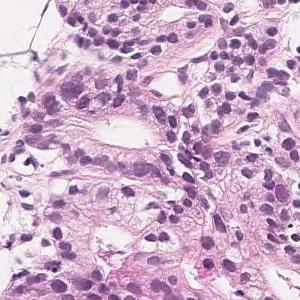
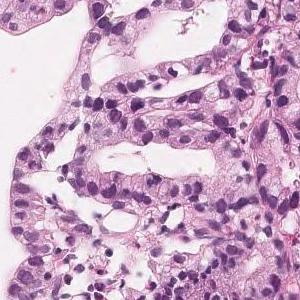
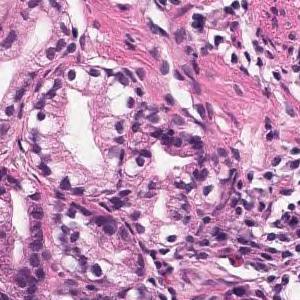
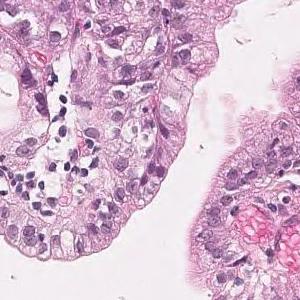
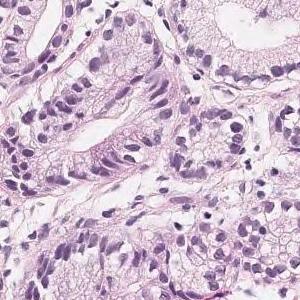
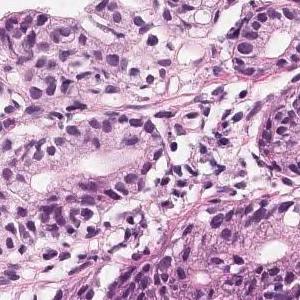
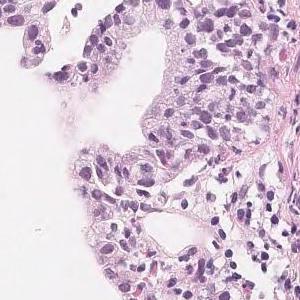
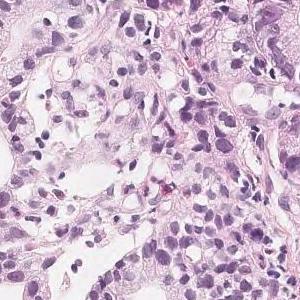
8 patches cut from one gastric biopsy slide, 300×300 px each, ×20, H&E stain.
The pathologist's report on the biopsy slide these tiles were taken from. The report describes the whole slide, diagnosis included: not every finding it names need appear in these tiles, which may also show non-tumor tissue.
Proliferation of atypical glandular ducts that fuse and show a sieving structure is observed. moderately differentiated tubular adenocarcinoma
